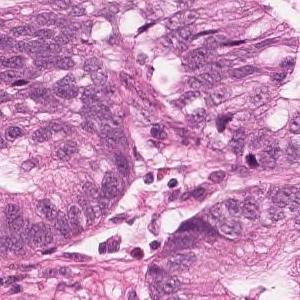
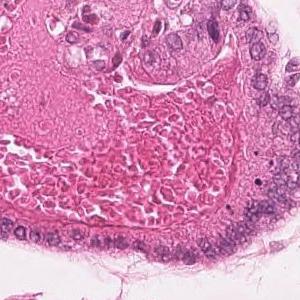
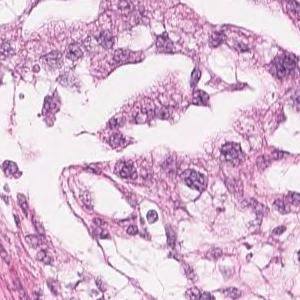
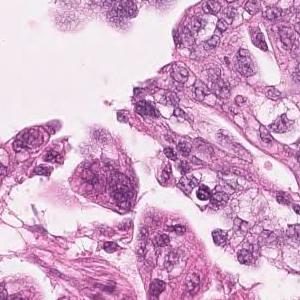
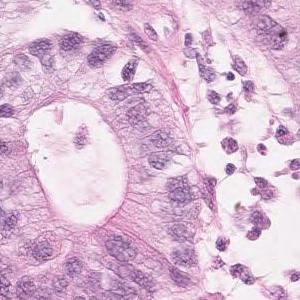
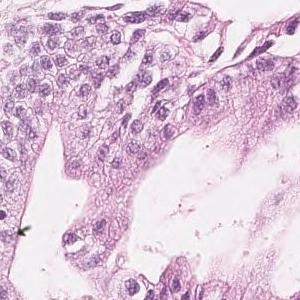
Hematoxylin and eosin stain · 6 patches cut from one gastric biopsy slide.
Pathology report for the biopsy slide these tiles were cut from. The report and the diagnosis cover the entire slide, so not every feature they name need be visible here, and some tissue shown may not be tumor.
Highly columnar epithelium with disordered nuclear localization proliferates showing fusion ductal construction. moderately differentiated tubular adenocarcinoma
